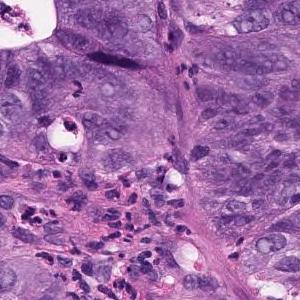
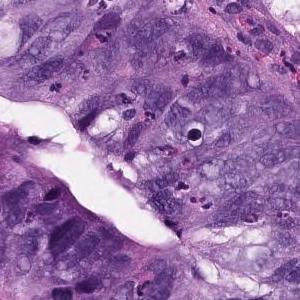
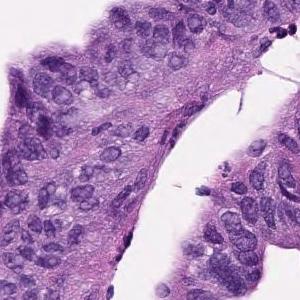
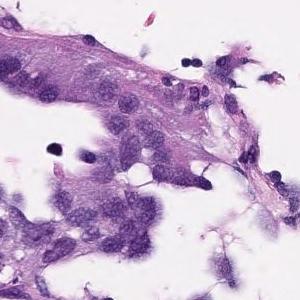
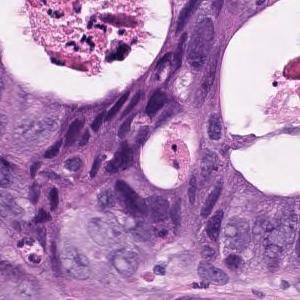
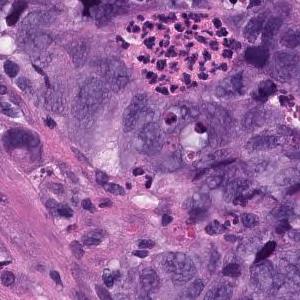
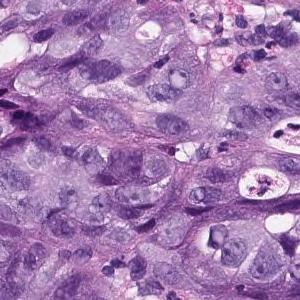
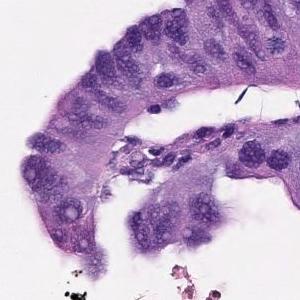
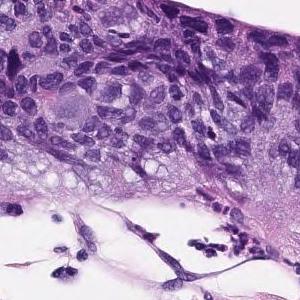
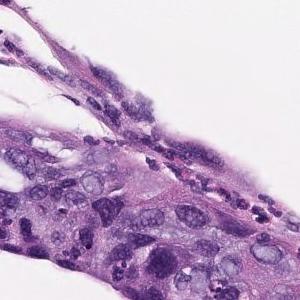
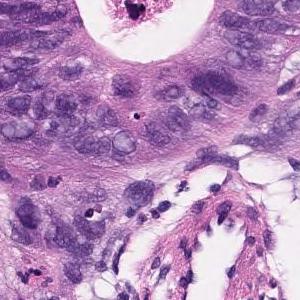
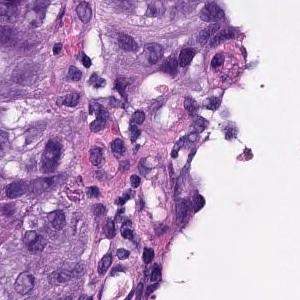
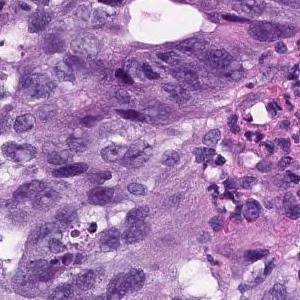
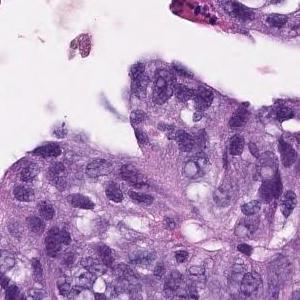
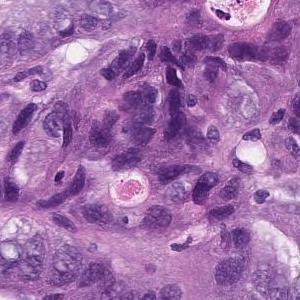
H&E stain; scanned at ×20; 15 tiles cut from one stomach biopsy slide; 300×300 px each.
The pathologist's report on the biopsy slide these tiles were taken from. The report and the diagnosis cover the entire slide, so not every feature they name need be visible here, and some tissue shown may not be tumor.
In the superficial epithelium, tumor tissue that invades by forming medium-sized to small, irregular ducts is observed. Moderately differentiated adenocarcinoma.
Classified as moderately differentiated tubular adenocarcinoma.
